×20; H&E; 11 tiles cut from one stomach biopsy slide; each 300 × 300 pixels.
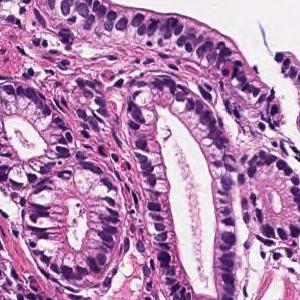
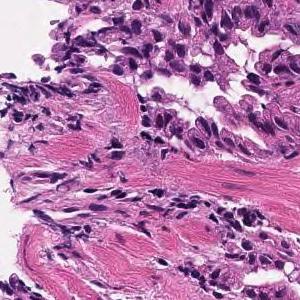
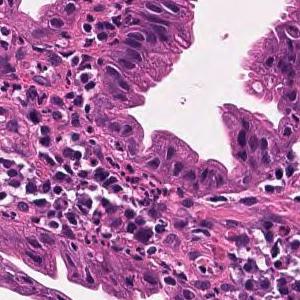
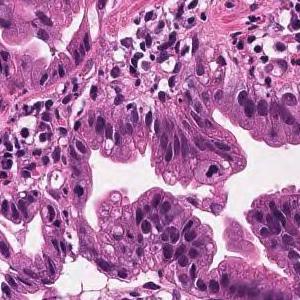
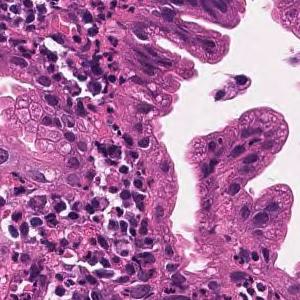
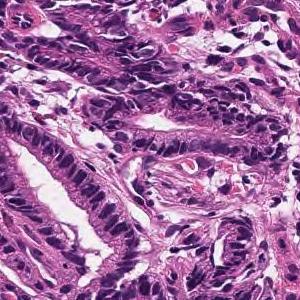
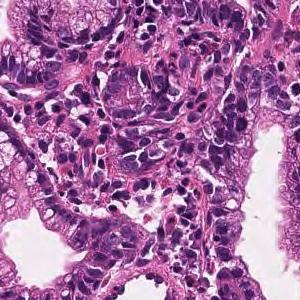
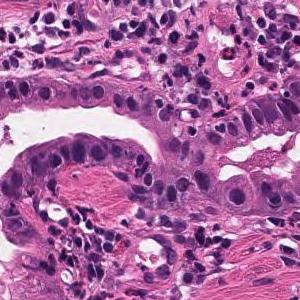
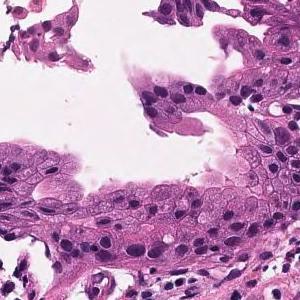
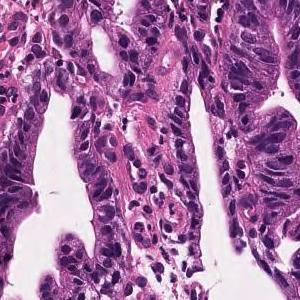
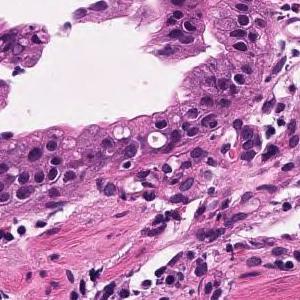
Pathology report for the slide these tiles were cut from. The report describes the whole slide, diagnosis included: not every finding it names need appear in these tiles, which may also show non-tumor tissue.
Tumor tissue in which medium to small irregular ducts infiltrate and proliferate in the submucosa can be seen in the epithelium. Well differentiated tubular adenocarcinoma
